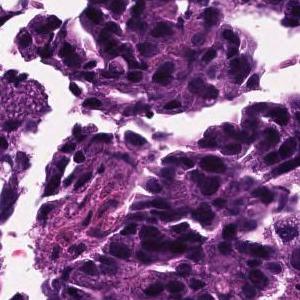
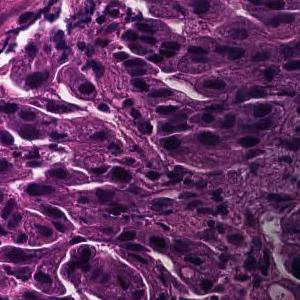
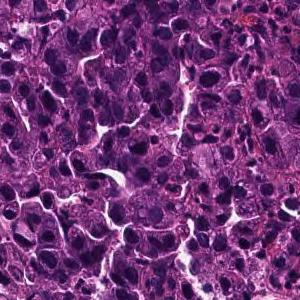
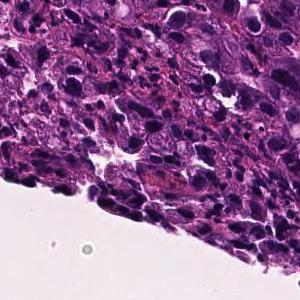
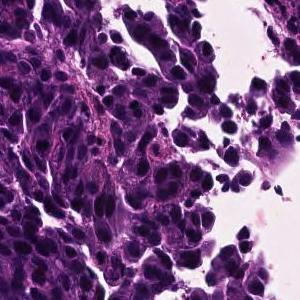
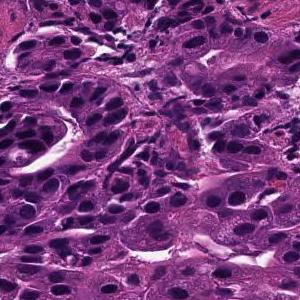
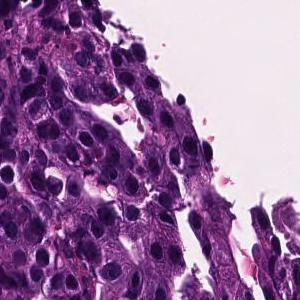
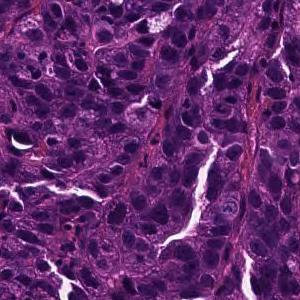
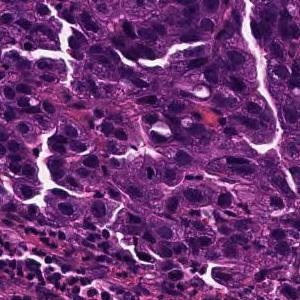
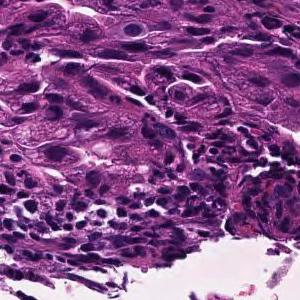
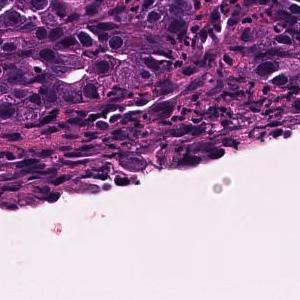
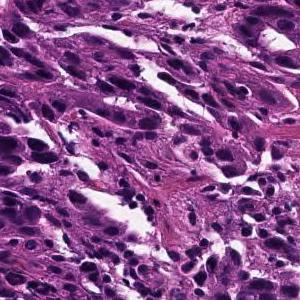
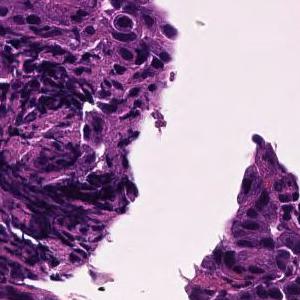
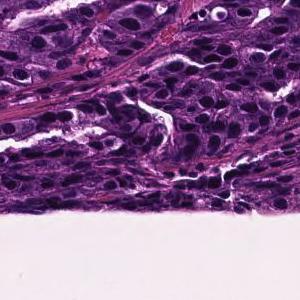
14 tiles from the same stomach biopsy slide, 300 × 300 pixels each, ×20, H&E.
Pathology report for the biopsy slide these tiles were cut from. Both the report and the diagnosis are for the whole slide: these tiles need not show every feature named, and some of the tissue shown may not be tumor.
Tumor tissue consisting of medium-sized, cord-like or irregular glandular fusion and infiltration is observed in the superficial epithelium. Poorly differentiated adenocarcinoma, non-solid type or moderately differentiated tubular adenocarcinoma
Histological subtype: Moderately to poorly differentiated adenocarcinoma.
The non-solid type named here is a Japanese Classification of Gastric Carcinoma category.
